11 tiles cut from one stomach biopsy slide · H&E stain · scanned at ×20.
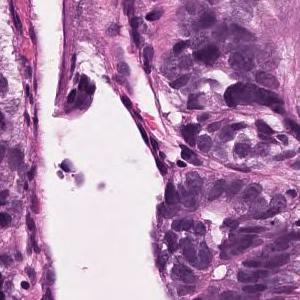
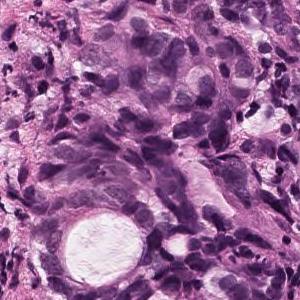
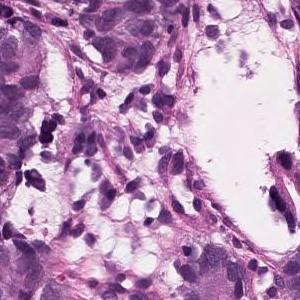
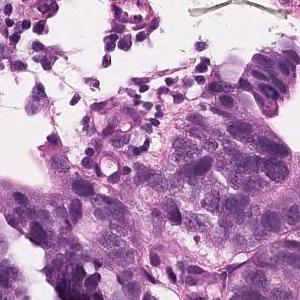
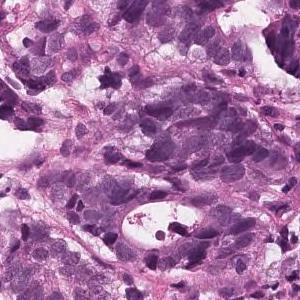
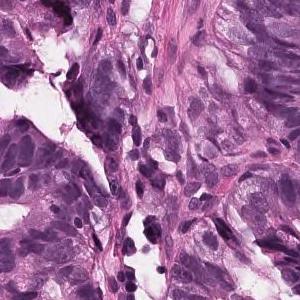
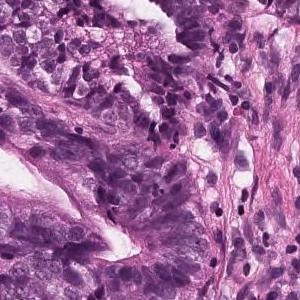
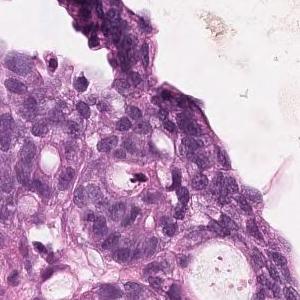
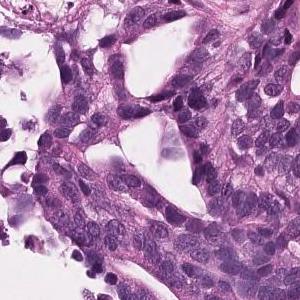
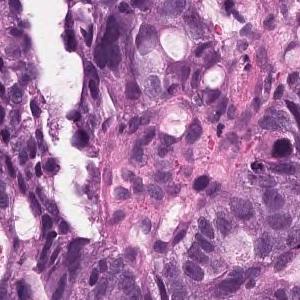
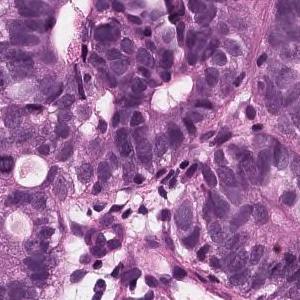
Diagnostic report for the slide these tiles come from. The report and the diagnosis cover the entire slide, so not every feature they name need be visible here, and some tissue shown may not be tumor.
On the superficial epithelium, tumor tissue consisting of large, irregular glandular ducts partially fused and infiltrated is observed. Well to moderately differentiated tubular adenocarcinoma (well differentiated tubular adenocarcinoma, moderately differentiated tubular adenocarcinoma)
Subtype: Well to moderately differentiated tubular adenocarcinoma.
